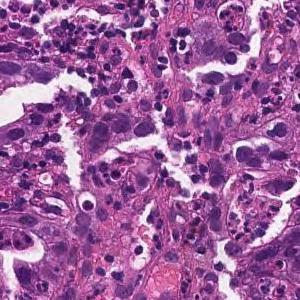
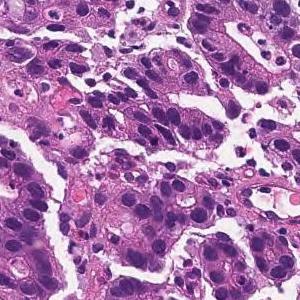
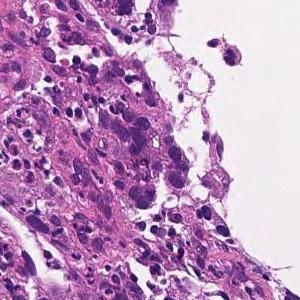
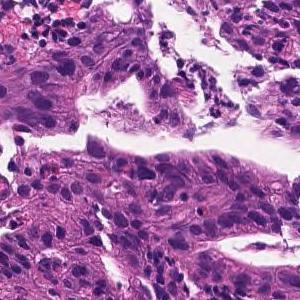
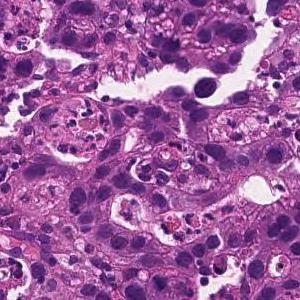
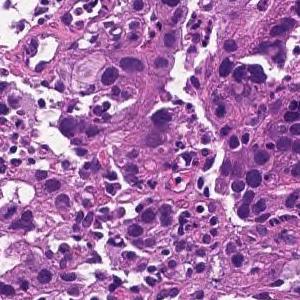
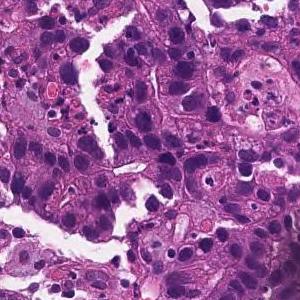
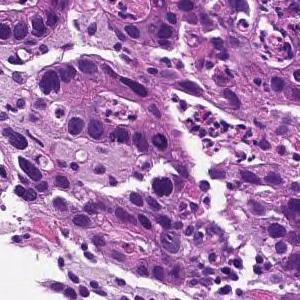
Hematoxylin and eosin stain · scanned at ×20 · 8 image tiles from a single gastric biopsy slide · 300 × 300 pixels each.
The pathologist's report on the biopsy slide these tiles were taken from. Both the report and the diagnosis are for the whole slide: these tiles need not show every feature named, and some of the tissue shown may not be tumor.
Medium to small, irregular glandular ducts are formed in the superficial epithelium, and in some cases, the glandular ducts are fused to show solid alveolar lesions and infiltrating tumor tissue is observed. Moderately to poorly differentiated adenocarcinoma.
